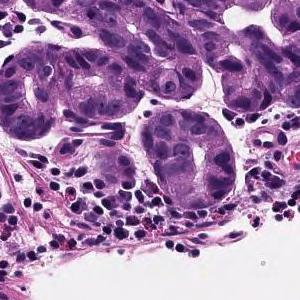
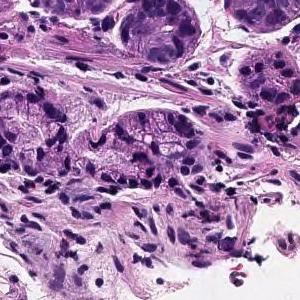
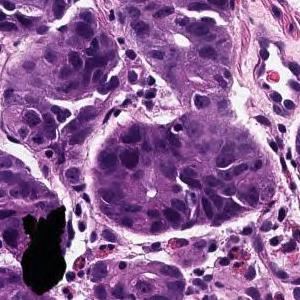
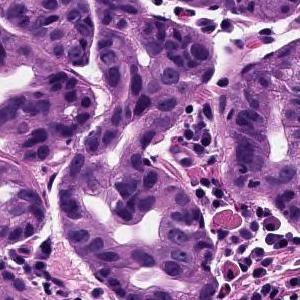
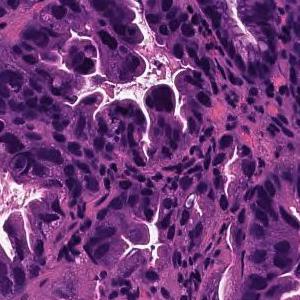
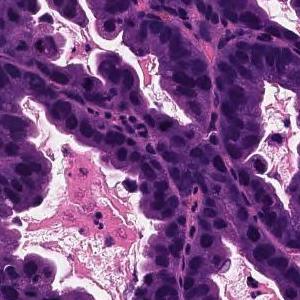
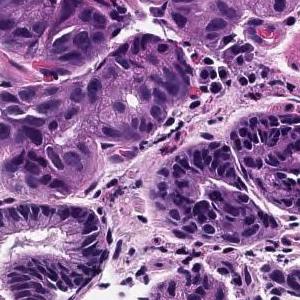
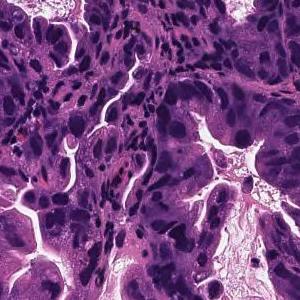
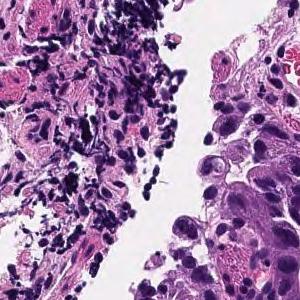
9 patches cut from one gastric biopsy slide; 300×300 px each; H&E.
Report on the slide these tiles come from. Both the report and the diagnosis are for the whole slide: these tiles need not show every feature named, and some of the tissue shown may not be tumor.
On the superficial epithelium, tumor tissue consisting of large irregular glandular ducts partially fused and infiltrated is observed. Well to moderately differentiated tubular adenocarcinoma (well differentiated tubular adenocarcinoma, moderately differentiated tubular adenocarcinoma)
Histologic type: Well to moderately differentiated tubular adenocarcinoma.
